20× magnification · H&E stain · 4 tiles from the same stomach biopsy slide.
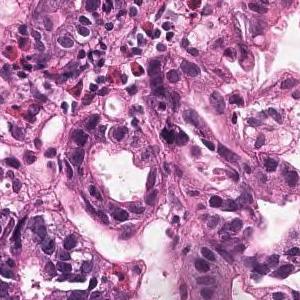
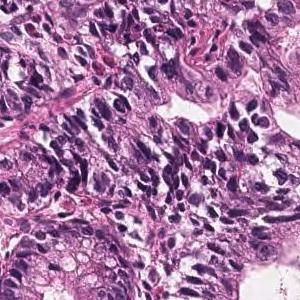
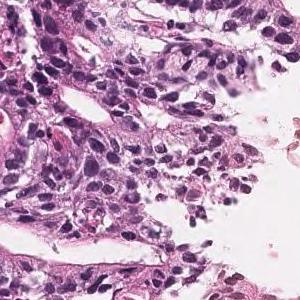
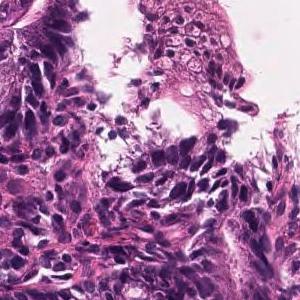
The pathologist's report on the biopsy slide these tiles were taken from. The report describes the whole slide, diagnosis included: not every finding it names need appear in these tiles, which may also show non-tumor tissue.
On the superficial epithelium, tumor tissue consisting of large, irregular glandular ducts partially fused and infiltrated is observed. Well to moderately differentiated tubular adenocarcinoma (well differentiated tubular adenocarcinoma, moderately differentiated tubular adenocarcinoma)
Histological subtype: Well to moderately differentiated tubular adenocarcinoma.
